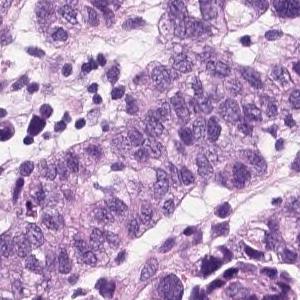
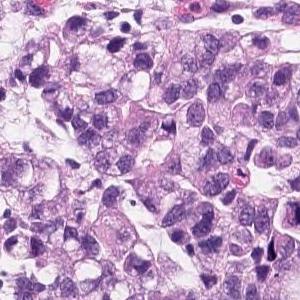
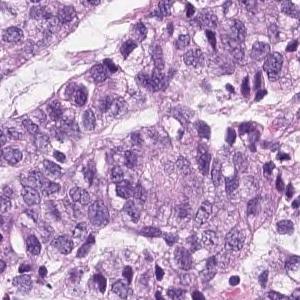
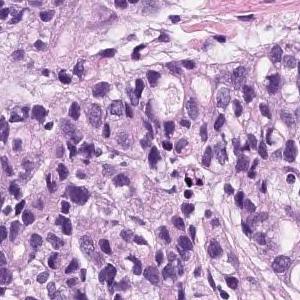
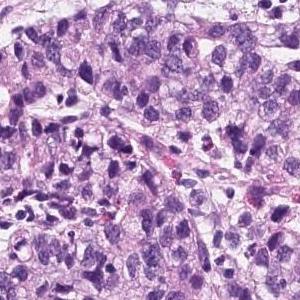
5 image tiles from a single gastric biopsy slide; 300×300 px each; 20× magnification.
Pathology report for the slide these tiles were cut from. The report and the diagnosis cover the entire slide, so not every feature they name need be visible here, and some tissue shown may not be tumor.
Group 5, Adenocarcinoma. Poorly differentiated adenocarcinoma, non-solid type
The non-solid type named here is a Japanese Classification of Gastric Carcinoma category.
